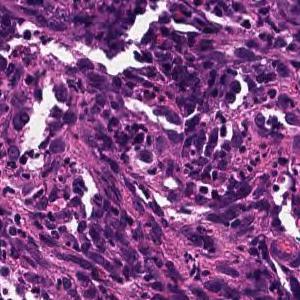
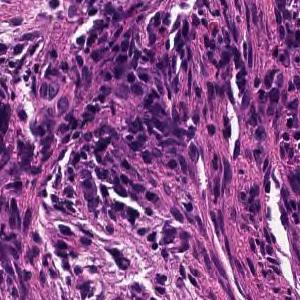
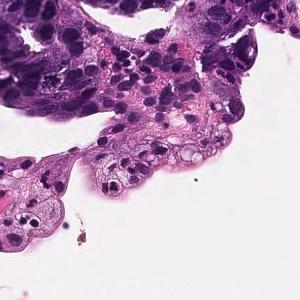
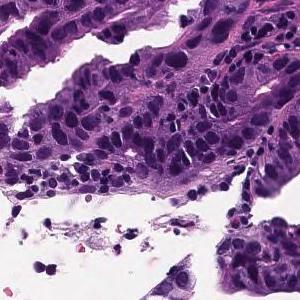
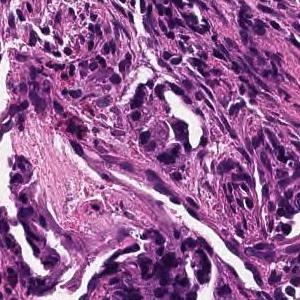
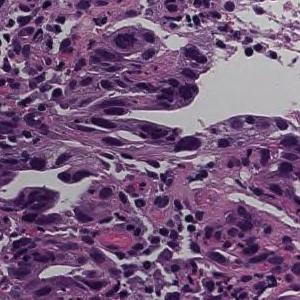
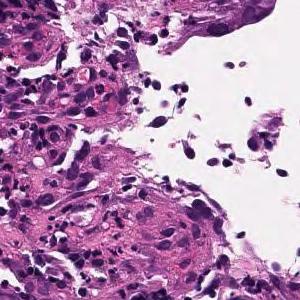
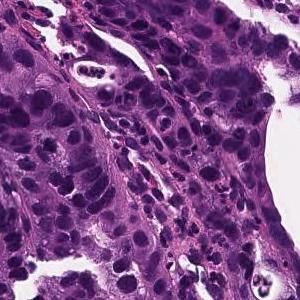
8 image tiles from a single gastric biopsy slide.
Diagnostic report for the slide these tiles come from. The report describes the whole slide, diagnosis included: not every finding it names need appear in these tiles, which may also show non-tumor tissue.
On the superficial epithelium, tumor tissue consisting of large irregular glandular ducts partially fused and infiltrated is observed. Well to moderately differentiated tubular adenocarcinoma (well differentiated tubular adenocarcinoma, moderately differentiated tubular adenocarcinoma)
Histological subtype: Well to moderately differentiated tubular adenocarcinoma.
